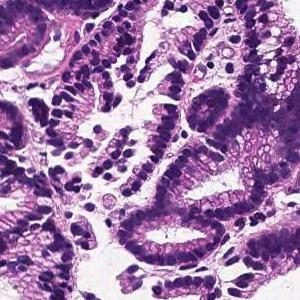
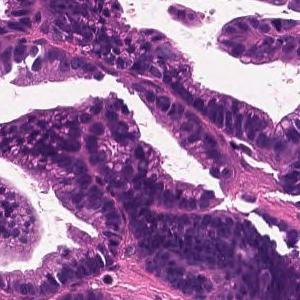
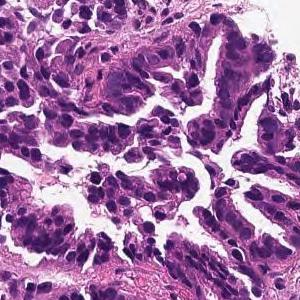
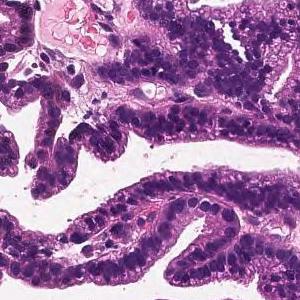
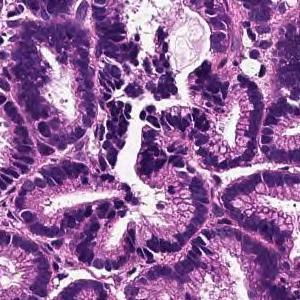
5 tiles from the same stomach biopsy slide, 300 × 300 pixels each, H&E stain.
Diagnostic report for the slide these tiles come from. The report and the diagnosis describe the slide as a whole, so these tiles may not show every feature named and may include non-tumor tissue.
On the superficial epithelium, tumor tissue consisting of large irregular glandular ducts partially fused and infiltrated is observed. Well to moderately differentiated tubular adenocarcinoma (well differentiated tubular adenocarcinoma, moderately differentiated tubular adenocarcinoma)
Histologic type: Well to moderately differentiated tubular adenocarcinoma.
